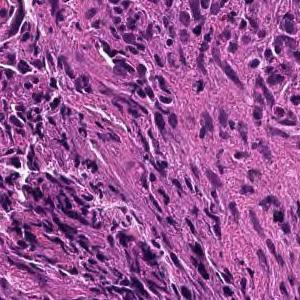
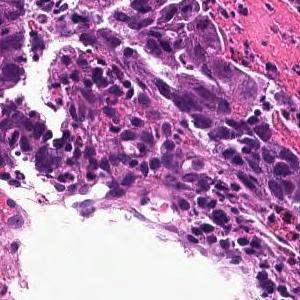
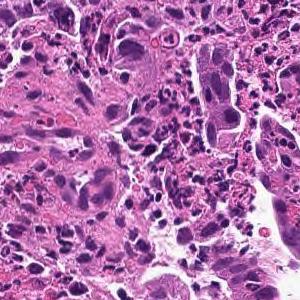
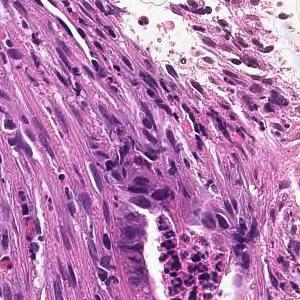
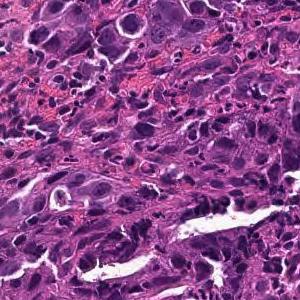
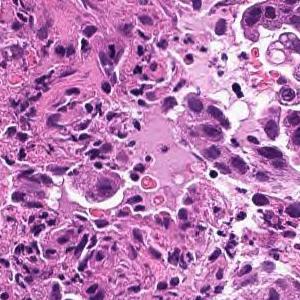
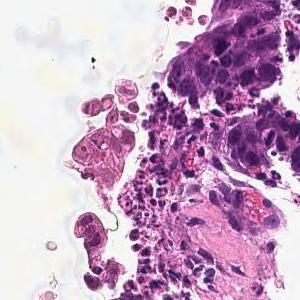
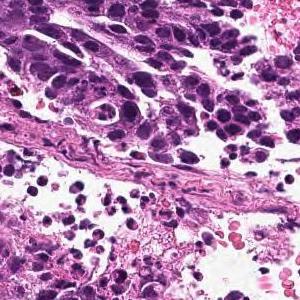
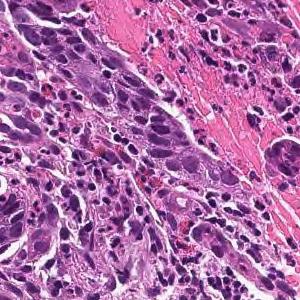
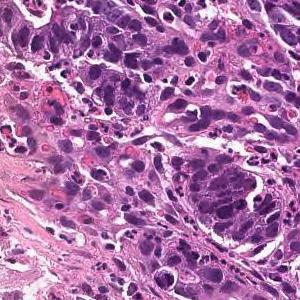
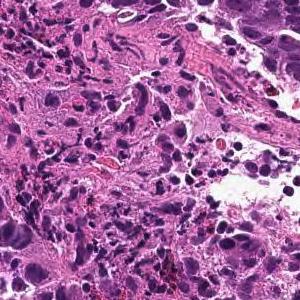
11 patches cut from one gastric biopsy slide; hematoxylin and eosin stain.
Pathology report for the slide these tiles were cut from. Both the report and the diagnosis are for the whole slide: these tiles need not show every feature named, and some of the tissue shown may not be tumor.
In the superficial epithelium, tumor tissue that invades by forming medium-sized to small, irregular ducts is observed. moderately differentiated tubular adenocarcinoma.
